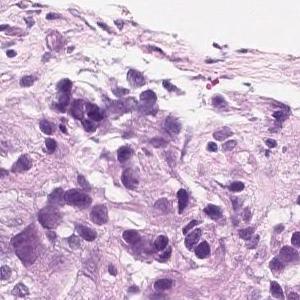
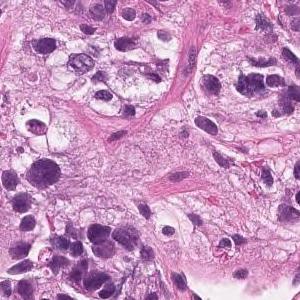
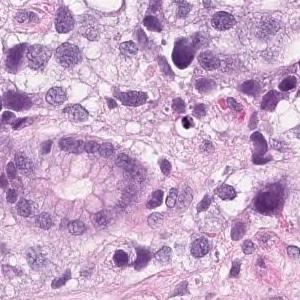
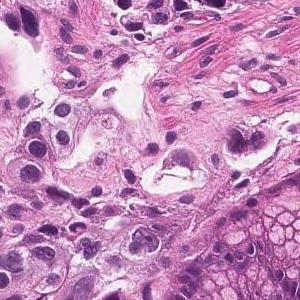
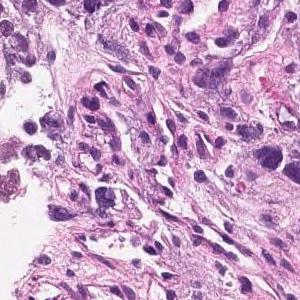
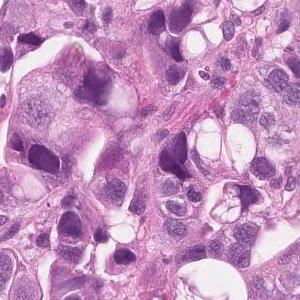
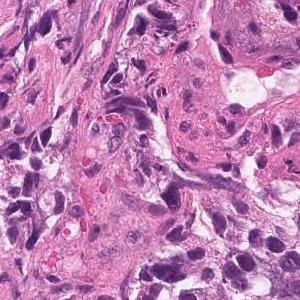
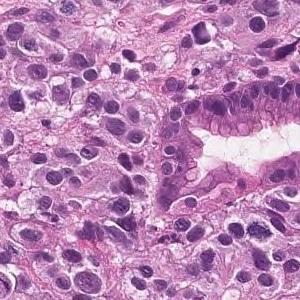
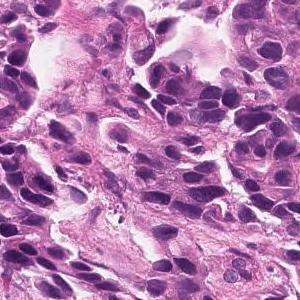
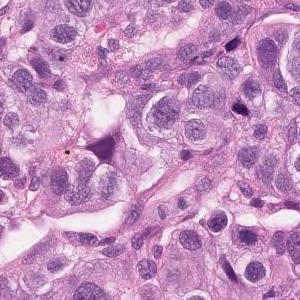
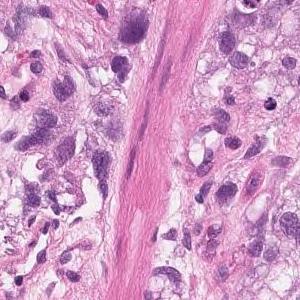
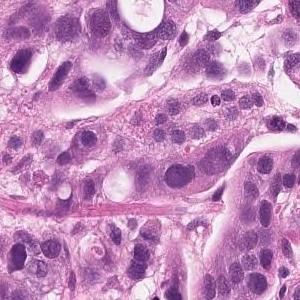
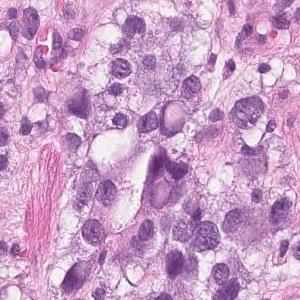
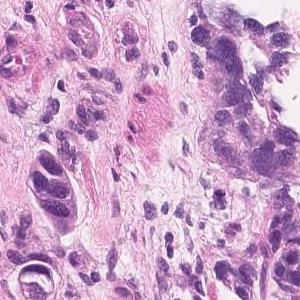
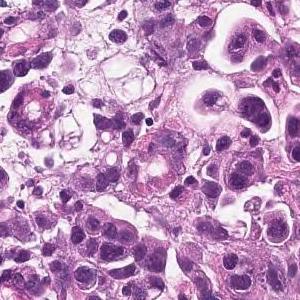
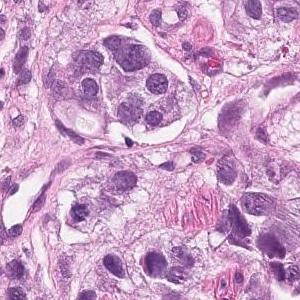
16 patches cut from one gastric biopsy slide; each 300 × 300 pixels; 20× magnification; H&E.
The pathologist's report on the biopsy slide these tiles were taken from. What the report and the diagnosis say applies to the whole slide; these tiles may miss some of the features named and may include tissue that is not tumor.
Tumor tissue that infiltrates the epithelium in an alveolar manner. Poorly differentiated adenocarcinoma, solid-type
Tumor subtype: poorly differentiated adenocarcinoma, solid type (Japanese Classification of Gastric Carcinoma). The WHO 2019 equivalent is tubular adenocarcinoma, poorly differentiated.
